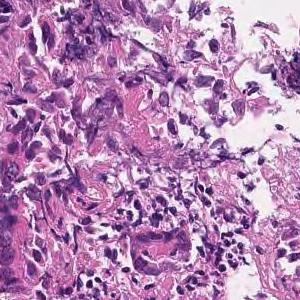
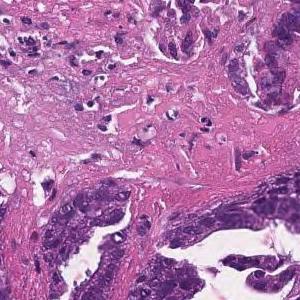
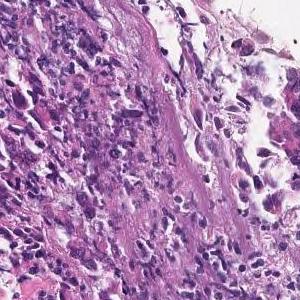
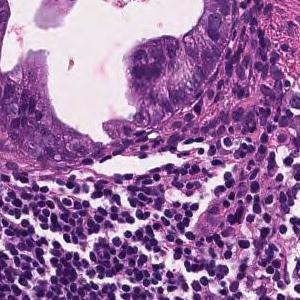
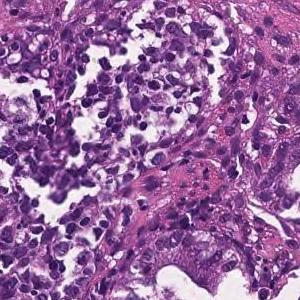
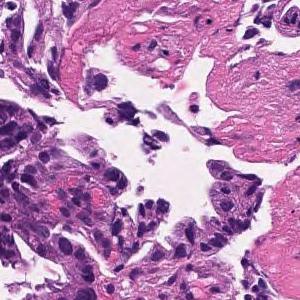
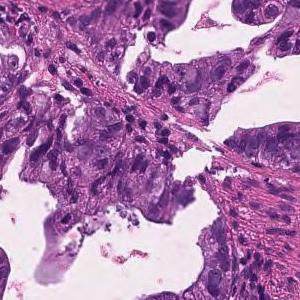
×20, hematoxylin and eosin stain, 7 tiles cut from one stomach biopsy slide, each 300 × 300 pixels.
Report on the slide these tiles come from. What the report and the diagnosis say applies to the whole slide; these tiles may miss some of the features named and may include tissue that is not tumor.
On the superficial epithelium, tumor tissue consisting of large, irregular glandular ducts partially fused and infiltrated is observed. Well to moderately differentiated tubular adenocarcinoma (well differentiated tubular adenocarcinoma, moderately differentiated tubular adenocarcinoma)
Subtype: Well to moderately differentiated tubular adenocarcinoma.
